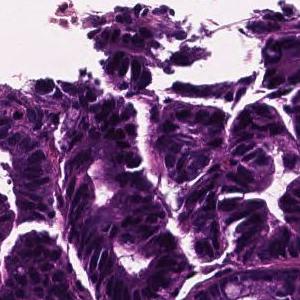
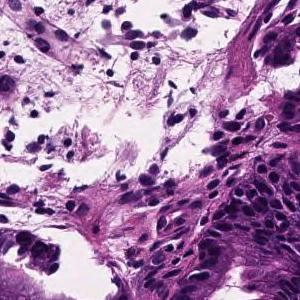
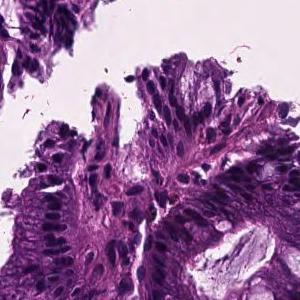
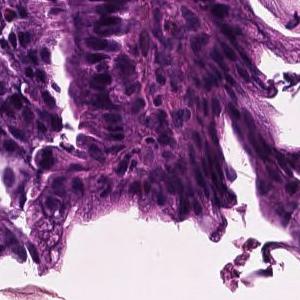
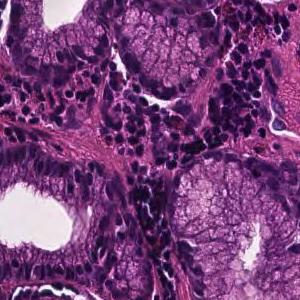
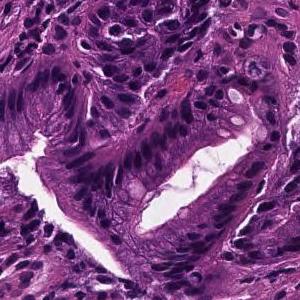
6 tiles from the same stomach biopsy slide, ×20, hematoxylin and eosin stain.
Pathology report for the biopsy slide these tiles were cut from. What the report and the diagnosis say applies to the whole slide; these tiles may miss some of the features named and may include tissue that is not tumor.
In the superficial epithelium, tumor tissue that invades by forming medium-sized to small, irregular ducts is observed. Well differentiated tubular adenocarcinoma.
